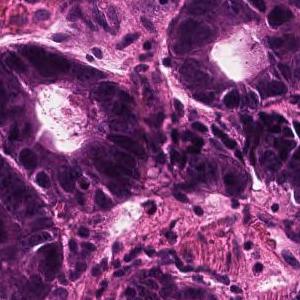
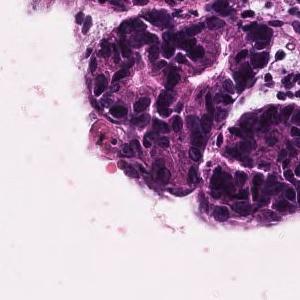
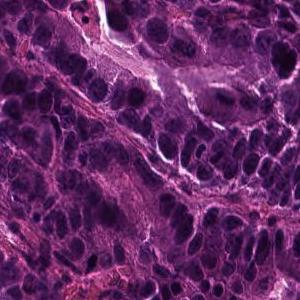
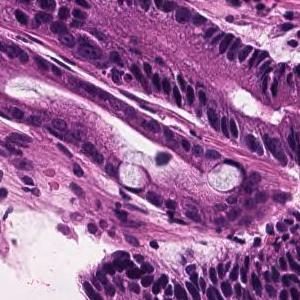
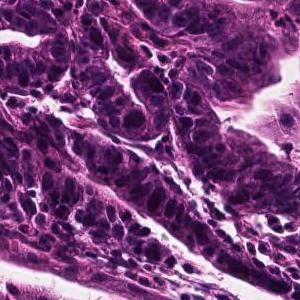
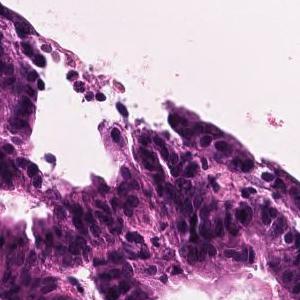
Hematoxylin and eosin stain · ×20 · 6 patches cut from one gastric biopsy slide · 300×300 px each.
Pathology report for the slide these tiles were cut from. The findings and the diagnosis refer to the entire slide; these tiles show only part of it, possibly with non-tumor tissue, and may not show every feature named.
In the superficial epithelium, tumor tissue that invades by forming medium-sized to small, irregular ducts is observed. Well differentiated tubular adenocarcinoma.
